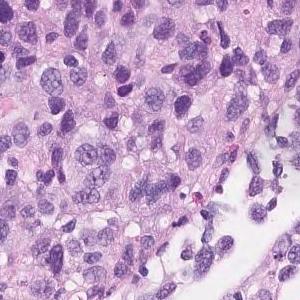
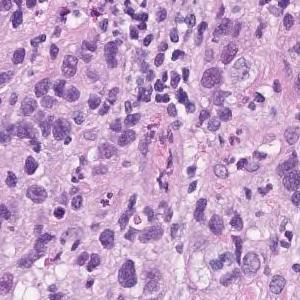
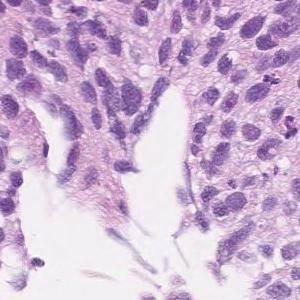
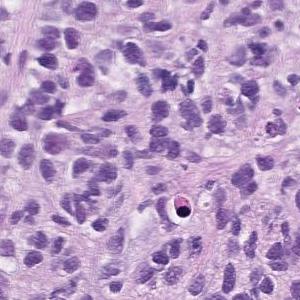
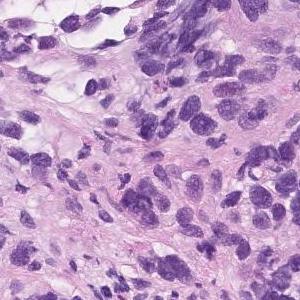
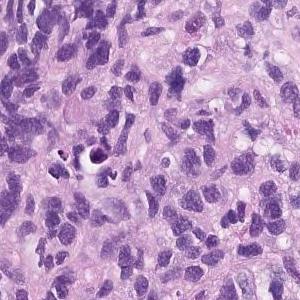
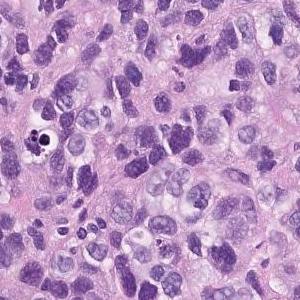
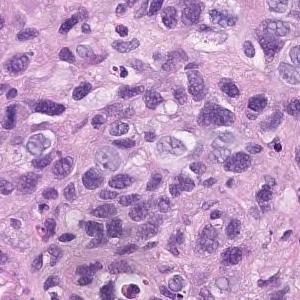
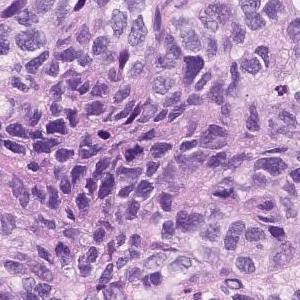
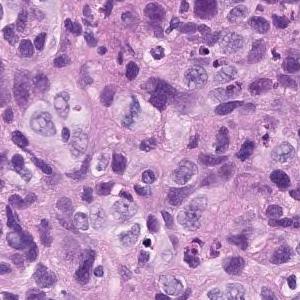
Hematoxylin and eosin stain; 10 tiles from the same stomach biopsy slide.
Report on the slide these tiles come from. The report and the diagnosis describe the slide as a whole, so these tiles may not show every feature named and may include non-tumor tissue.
Atypical l cells with atypical nuclei under the mucosa growing in isolation and scattered. Poorly differentiated adenocarcinoma (poorly differentiated adenocarcinoma, non-solid type)
Histological subtype: Poorly differentiated adenocarcinoma, non-solid type.
The non-solid type named here is a Japanese Classification of Gastric Carcinoma category.
